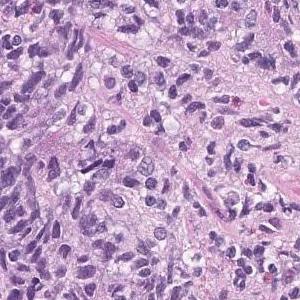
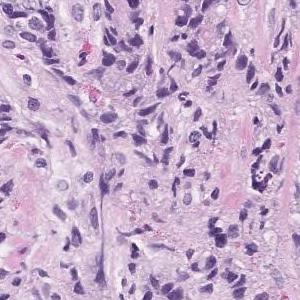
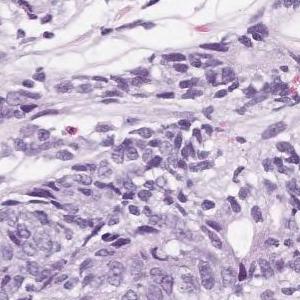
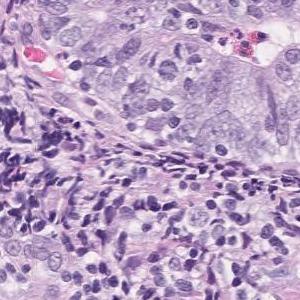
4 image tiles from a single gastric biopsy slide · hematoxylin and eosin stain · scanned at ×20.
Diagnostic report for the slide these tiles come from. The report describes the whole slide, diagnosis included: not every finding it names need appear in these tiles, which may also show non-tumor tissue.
Highly columnar epithelium with disordered nuclear localization proliferates showing fusion ductal construction. moderately differentiated tubular adenocarcinoma
